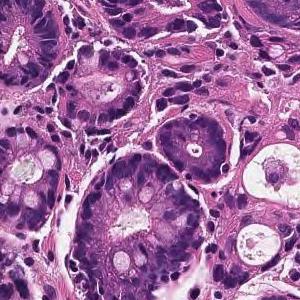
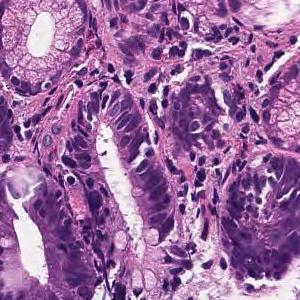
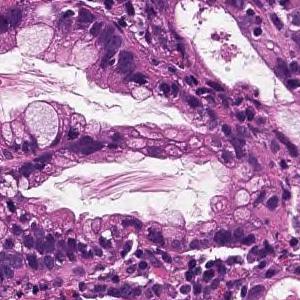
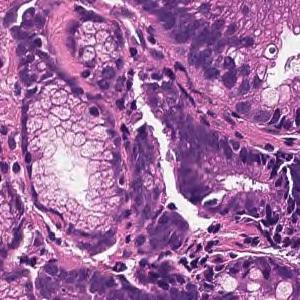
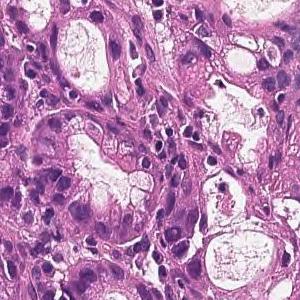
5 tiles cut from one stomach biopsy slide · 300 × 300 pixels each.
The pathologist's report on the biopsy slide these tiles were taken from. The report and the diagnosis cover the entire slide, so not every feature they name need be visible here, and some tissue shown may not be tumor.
From the superficial epithelium to the muscularis mucosae, tumor tissue consisting of medium-sized and irregular glandular ducts infiltrating is observed. Well differentiated tubular adenocarcinoma
